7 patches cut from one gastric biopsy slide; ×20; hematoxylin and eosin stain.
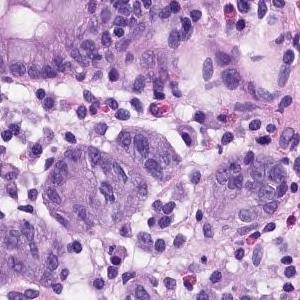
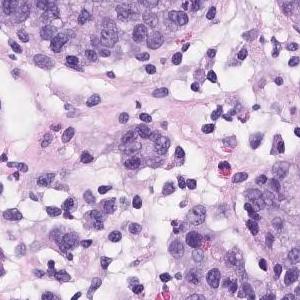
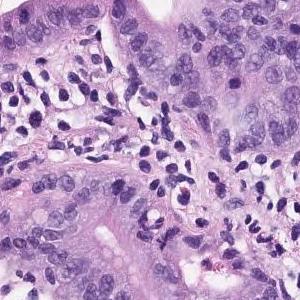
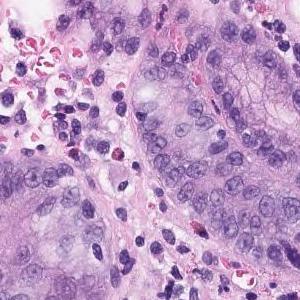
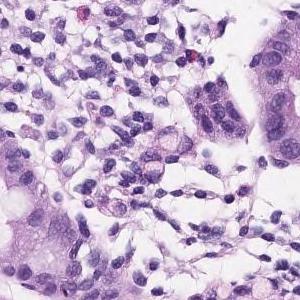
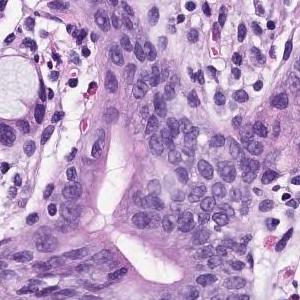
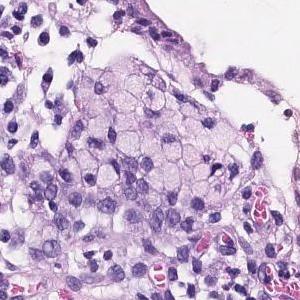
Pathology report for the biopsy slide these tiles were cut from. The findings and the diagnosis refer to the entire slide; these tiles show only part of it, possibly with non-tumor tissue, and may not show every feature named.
Atypical l cells with atypical nuclei forming diffuse or small irregular atypical ducts and growing. Moderately to poorly differentiated adenocarcinoma (poorly differentiated adenocarcinoma, solid type moderately differentiated tubular adenocarcinoma)
Subtype: Moderately to poorly differentiated adenocarcinoma.
The solid type named here is a Japanese Classification of Gastric Carcinoma category; WHO 2019 calls it tubular adenocarcinoma, poorly differentiated.
